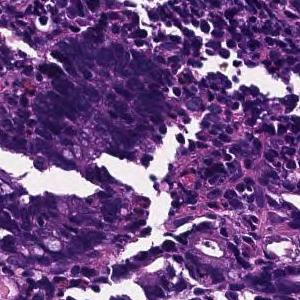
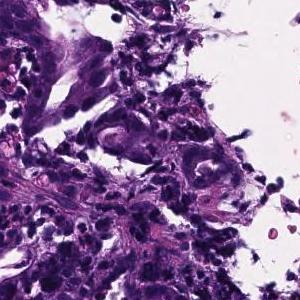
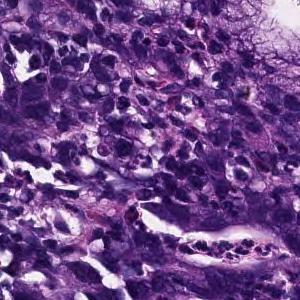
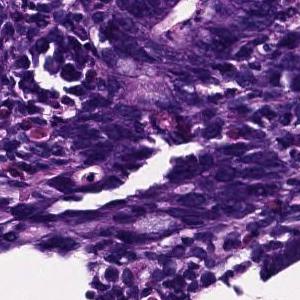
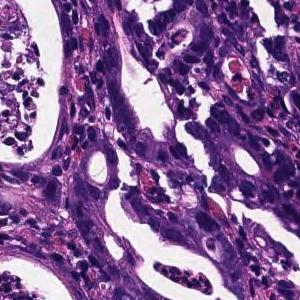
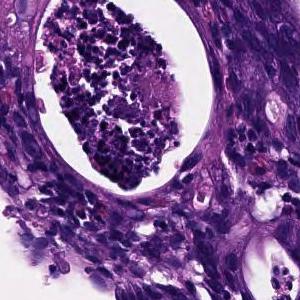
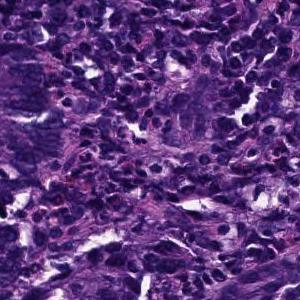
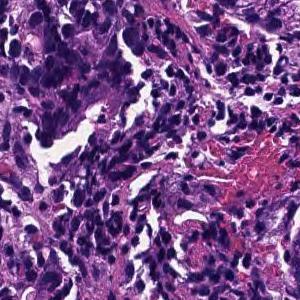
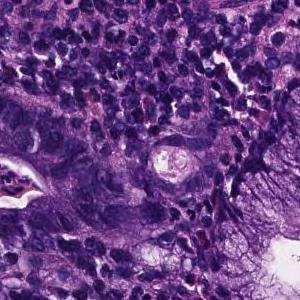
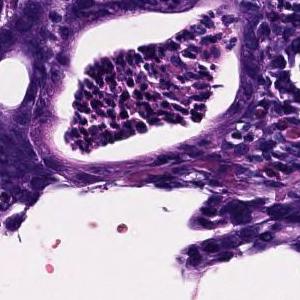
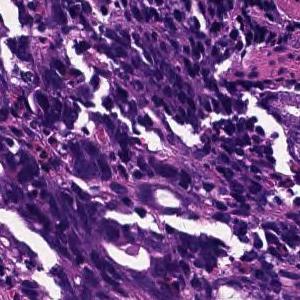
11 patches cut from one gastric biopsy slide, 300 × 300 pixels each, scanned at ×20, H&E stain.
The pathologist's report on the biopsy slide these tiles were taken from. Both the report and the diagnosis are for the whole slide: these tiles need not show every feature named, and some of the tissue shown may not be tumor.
In the superficial epithelium, tumor tissue that invades by forming medium-sized to small, irregular ducts is observed. moderately differentiated tubular adenocarcinoma.
